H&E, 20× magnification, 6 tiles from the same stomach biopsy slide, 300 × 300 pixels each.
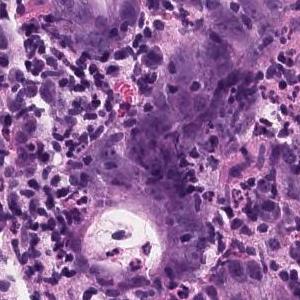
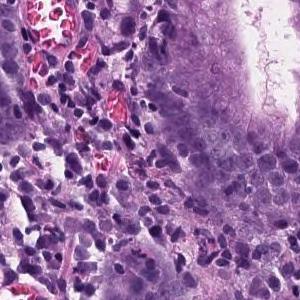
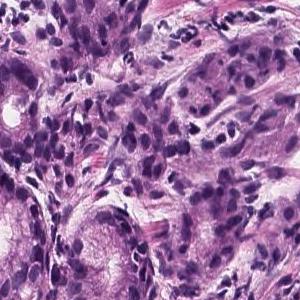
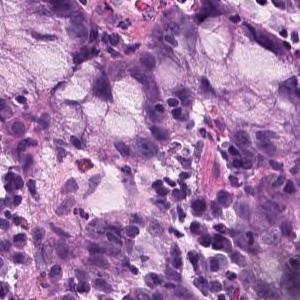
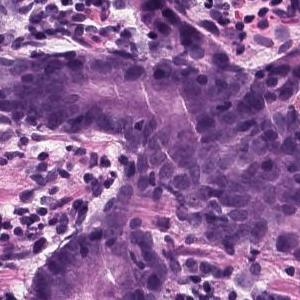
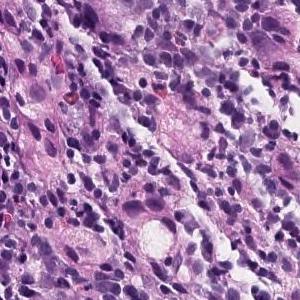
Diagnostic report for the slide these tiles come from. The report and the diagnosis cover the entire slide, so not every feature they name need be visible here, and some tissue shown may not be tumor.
In the superficial epithelium, tumor tissue that invades by forming medium-sized to small, irregular ducts is observed. Moderately differentiated adenocarcinoma.
Tumor subtype: moderately differentiated tubular adenocarcinoma.
